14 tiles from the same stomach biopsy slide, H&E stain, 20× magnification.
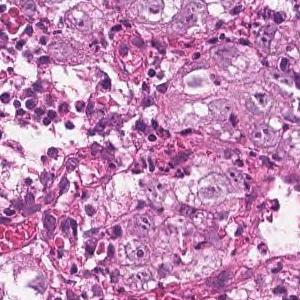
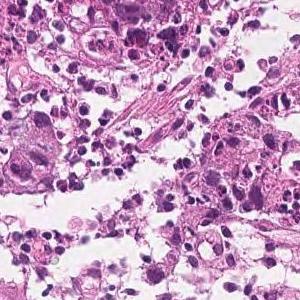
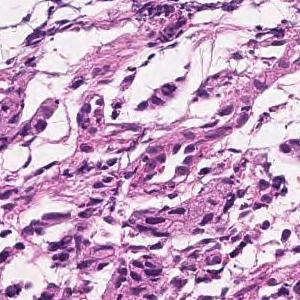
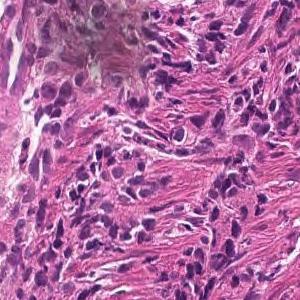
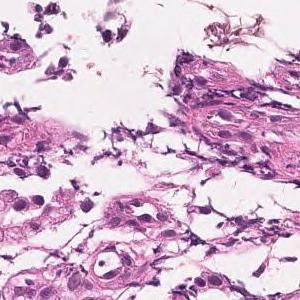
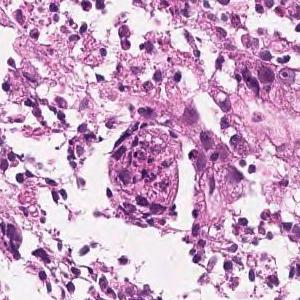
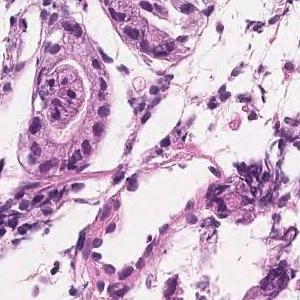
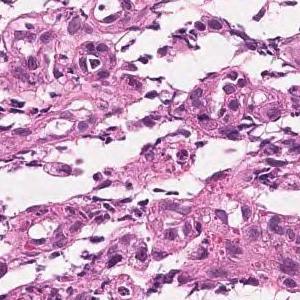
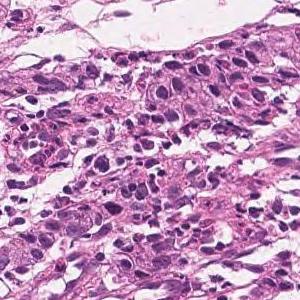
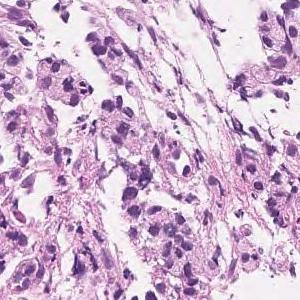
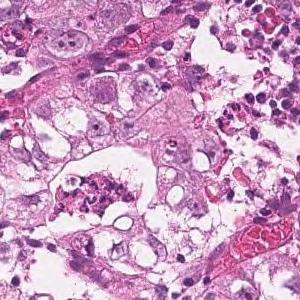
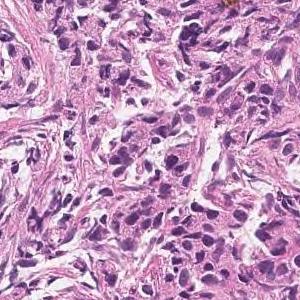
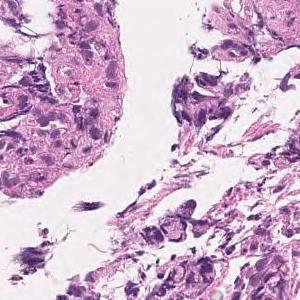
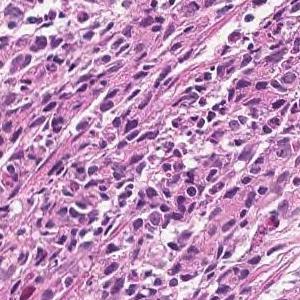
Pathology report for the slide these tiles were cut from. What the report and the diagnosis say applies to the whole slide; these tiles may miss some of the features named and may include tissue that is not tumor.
In the superficial epithelium, medium to small, irregular glandular ducts are formed, and in some parts, the glandular ducts are fused, and in other parts, small cord-like infiltrating tumor tissue is observed. Moderately to poorly differentiated adenocarcinoma.
